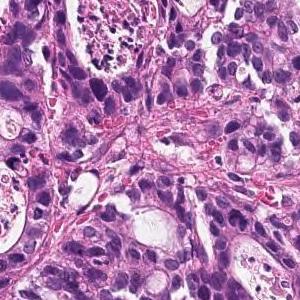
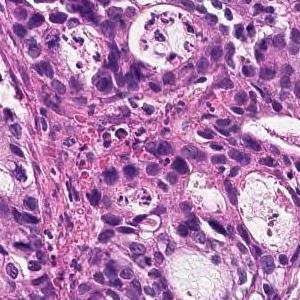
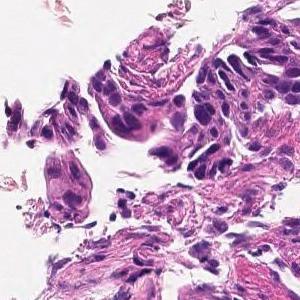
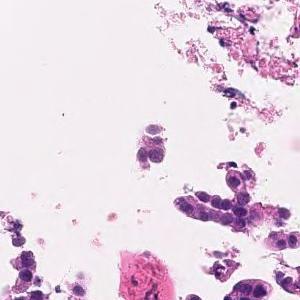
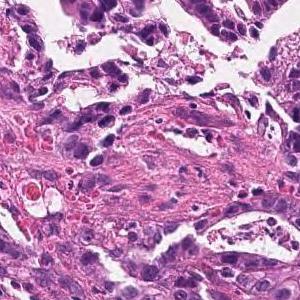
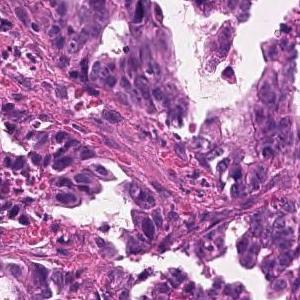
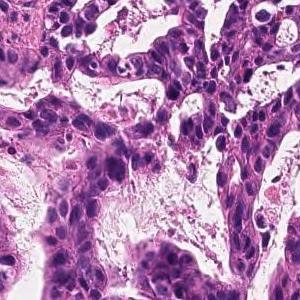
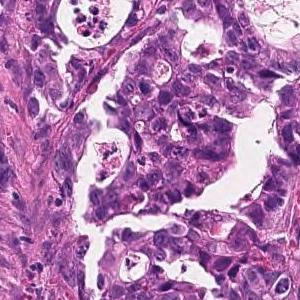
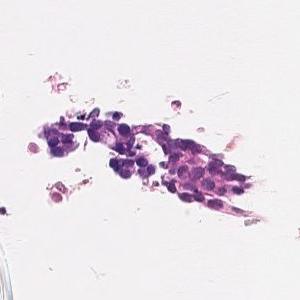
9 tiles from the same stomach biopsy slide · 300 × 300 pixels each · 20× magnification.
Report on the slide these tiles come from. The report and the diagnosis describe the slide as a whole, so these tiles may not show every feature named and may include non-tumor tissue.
On the superficial epithelium, tumor tissue consisting of images of small to medium-sized and irregular tubules infiltrating with irregular fusion is observed. moderately differentiated tubular adenocarcinoma
